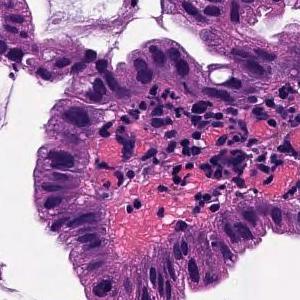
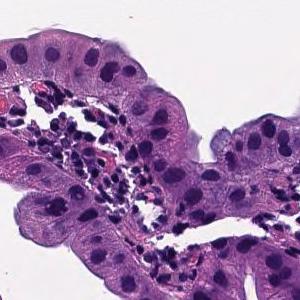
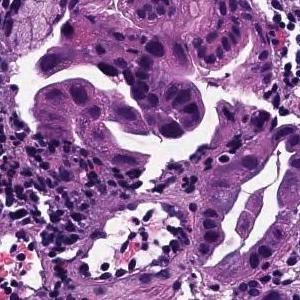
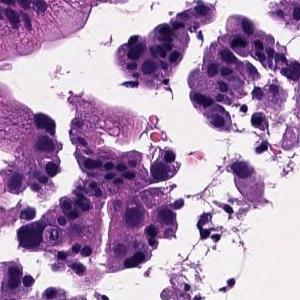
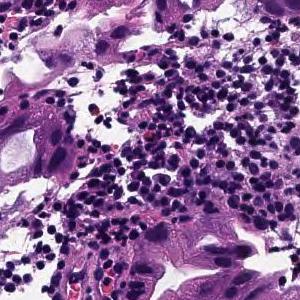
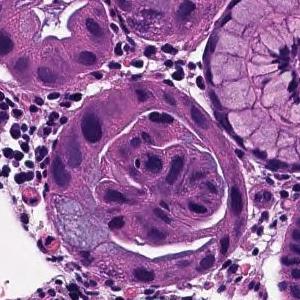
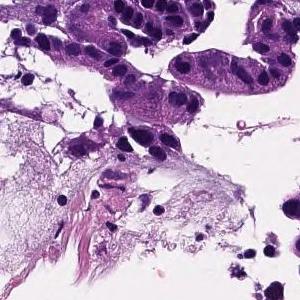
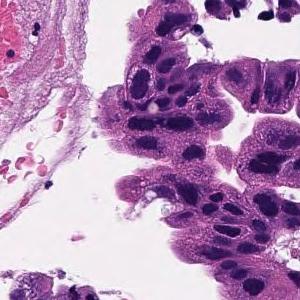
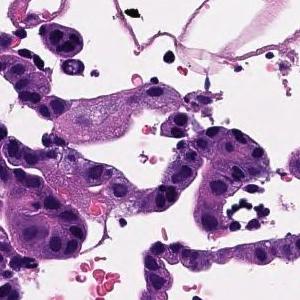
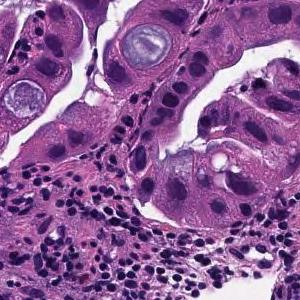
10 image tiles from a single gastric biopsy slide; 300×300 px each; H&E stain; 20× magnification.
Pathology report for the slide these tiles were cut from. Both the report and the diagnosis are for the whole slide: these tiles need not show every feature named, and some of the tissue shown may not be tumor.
Tumor tissue consisting of large papillary structures is found in the superficial epithelium. Papillary adenocarcinoma.
